20× magnification, 14 tiles cut from one stomach biopsy slide.
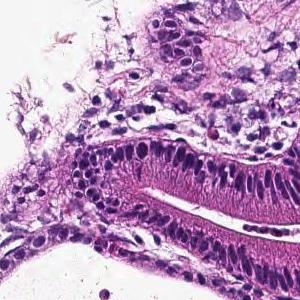
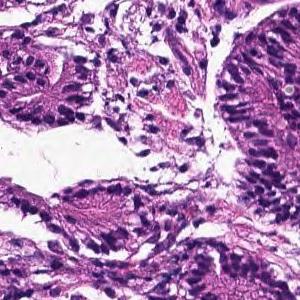
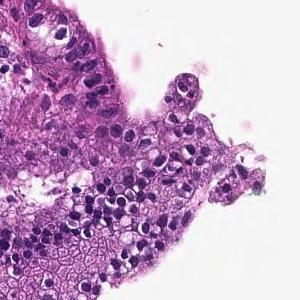
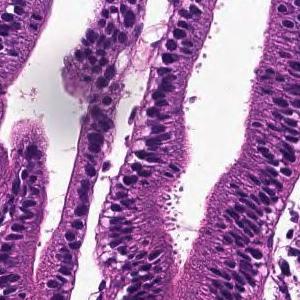
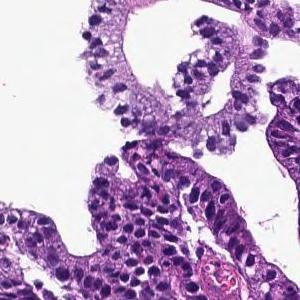
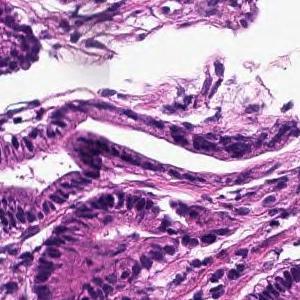
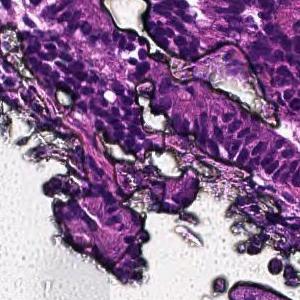
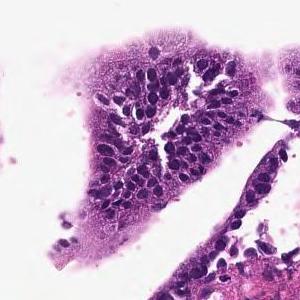
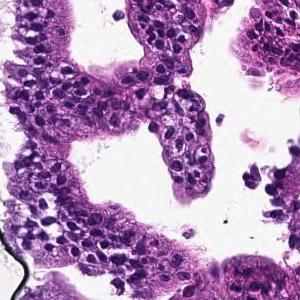
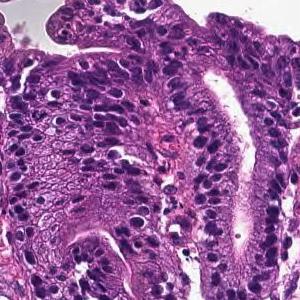
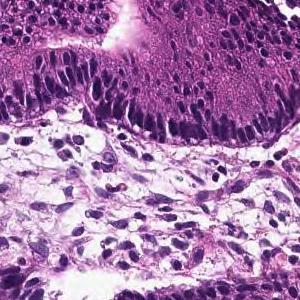
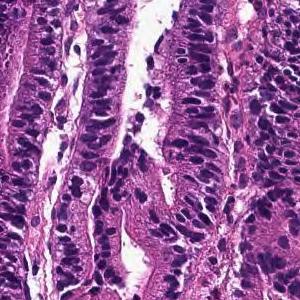
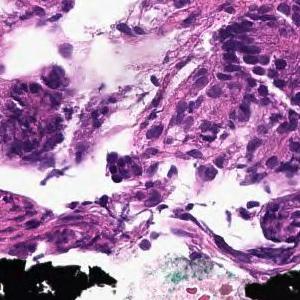
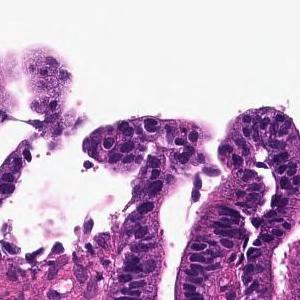
Pathology report for the biopsy slide these tiles were cut from. The report describes the whole slide, diagnosis included: not every finding it names need appear in these tiles, which may also show non-tumor tissue.
On the superficial epithelium, tumor tissue that infiltrates by forming medium-sized round or small irregular ducts is observed. Papillary adenocarcinoma
